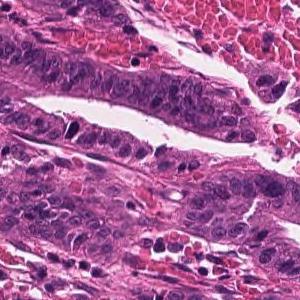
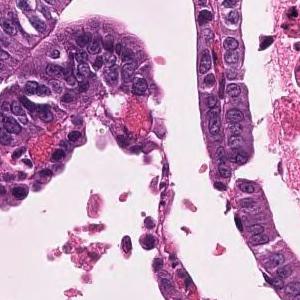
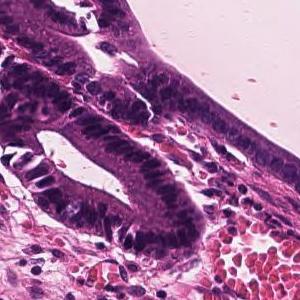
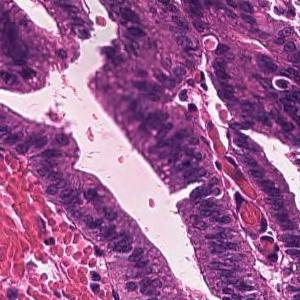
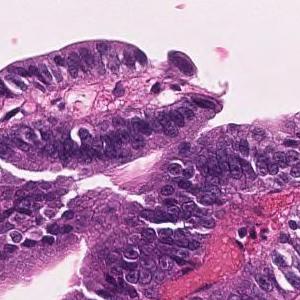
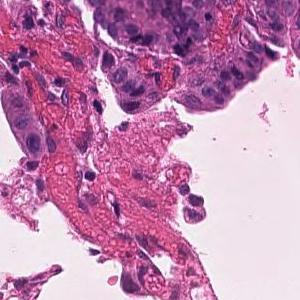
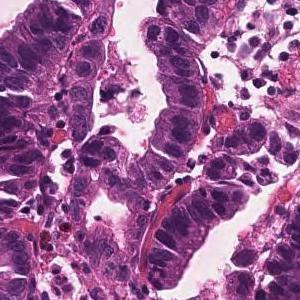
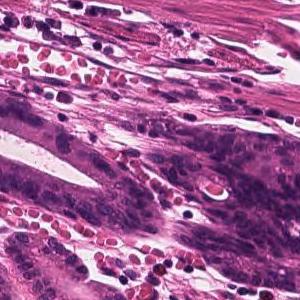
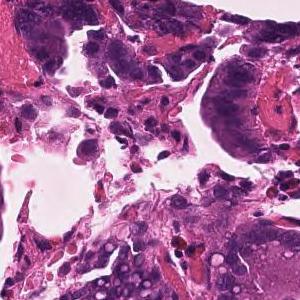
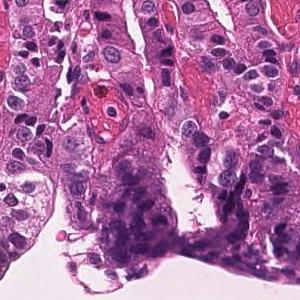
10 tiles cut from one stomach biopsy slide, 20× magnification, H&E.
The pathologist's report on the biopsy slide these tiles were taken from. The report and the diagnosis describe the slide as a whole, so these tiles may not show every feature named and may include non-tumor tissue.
Infiltrating tumor tissue with medium-sized, irregular ductal structure or large papillary appearance is observed. Well differentiated tubular adenocarcinoma
